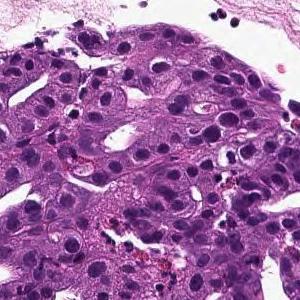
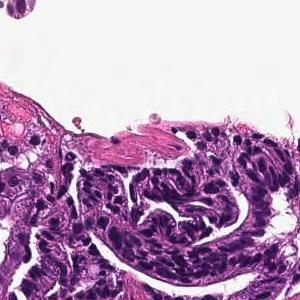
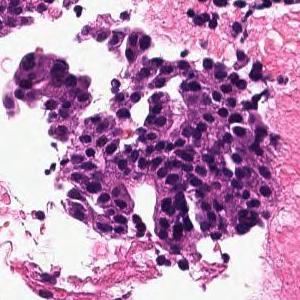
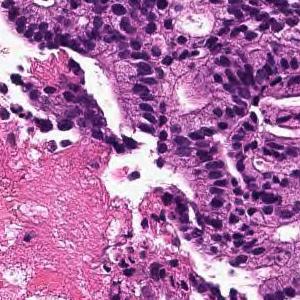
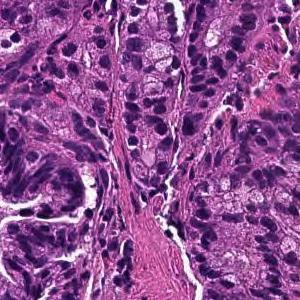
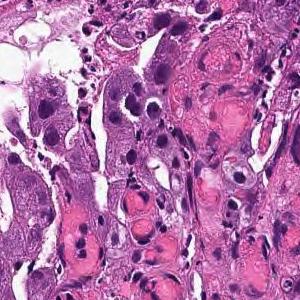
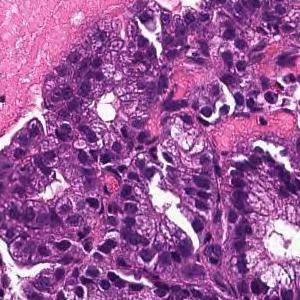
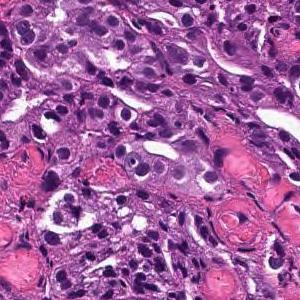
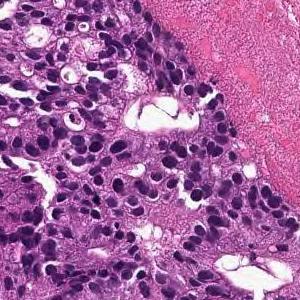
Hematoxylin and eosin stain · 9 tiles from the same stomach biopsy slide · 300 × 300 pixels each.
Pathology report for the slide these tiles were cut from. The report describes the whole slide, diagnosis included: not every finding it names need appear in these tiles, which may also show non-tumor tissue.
From the superficial epithelium to the muscularis mucosae, tumor tissue consisting of medium-sized and irregular glandular ducts infiltrating is observed. Well differentiated tubular adenocarcinoma
